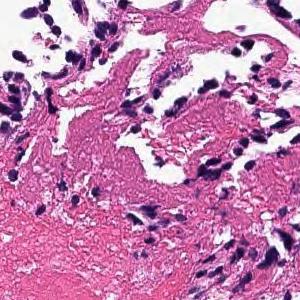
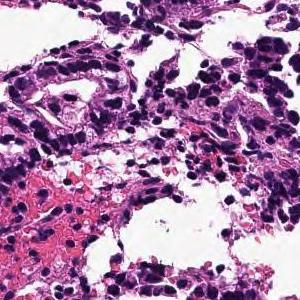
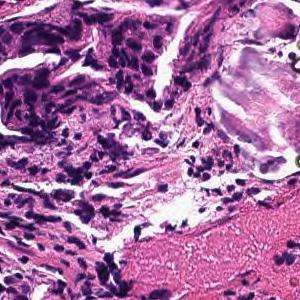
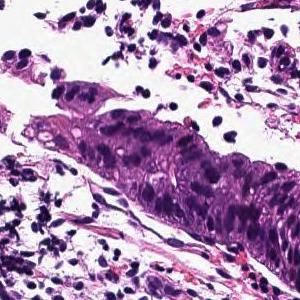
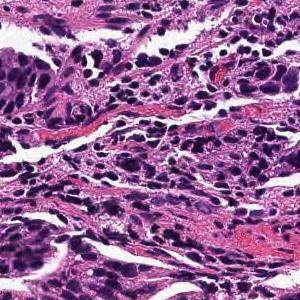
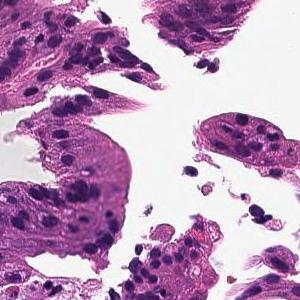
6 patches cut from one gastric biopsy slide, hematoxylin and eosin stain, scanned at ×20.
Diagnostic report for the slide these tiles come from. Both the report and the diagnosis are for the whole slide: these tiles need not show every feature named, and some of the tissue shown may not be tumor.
In the superficial epithelium, tumor tissue that invades by forming medium-sized to small, irregular ducts is observed. moderately differentiated tubular adenocarcinoma.
